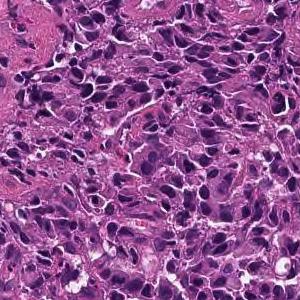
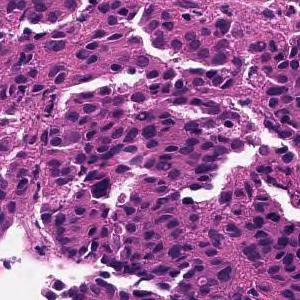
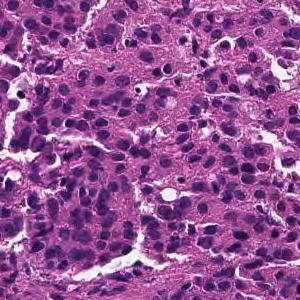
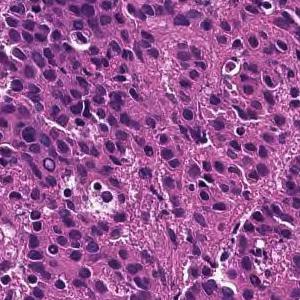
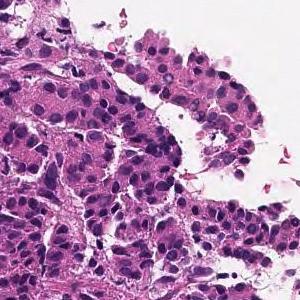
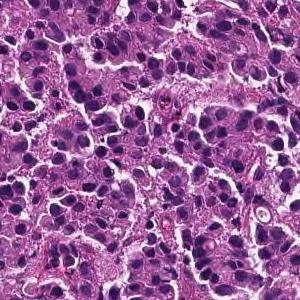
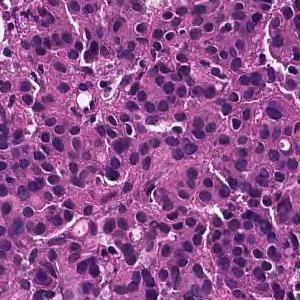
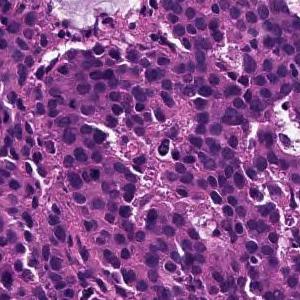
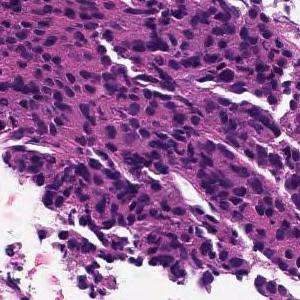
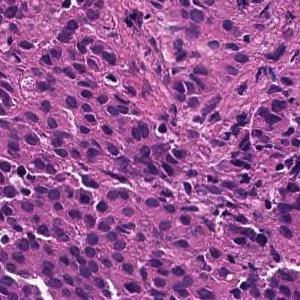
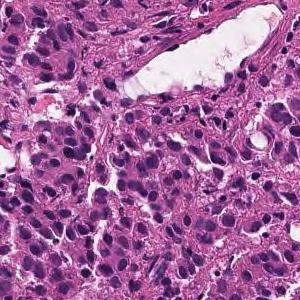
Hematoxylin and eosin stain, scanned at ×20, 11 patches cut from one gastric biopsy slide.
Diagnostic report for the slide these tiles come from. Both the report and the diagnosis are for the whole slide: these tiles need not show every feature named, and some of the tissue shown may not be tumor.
The superficial epithelium shows a large sheet-like shape, and some tumor tissue infiltrates with small irregular ducts. Poorly differentiated adenocarcinoma, solid-type
Subtype: Poorly differentiated adenocarcinoma, solid type (Japanese Classification of Gastric Carcinoma). The WHO 2019 equivalent is tubular adenocarcinoma, poorly differentiated.
